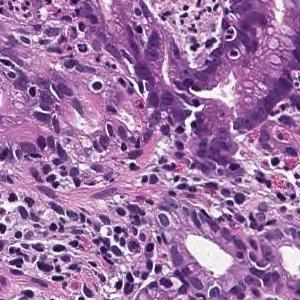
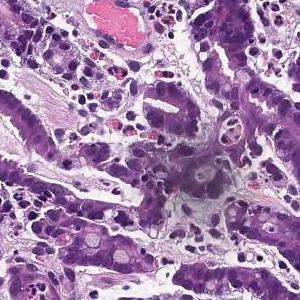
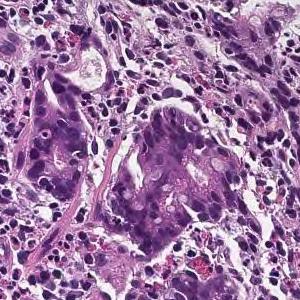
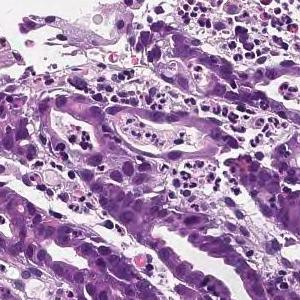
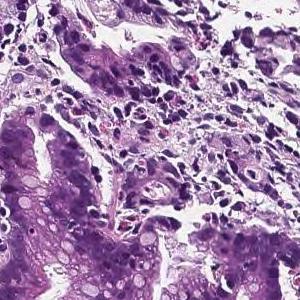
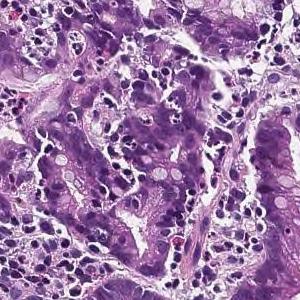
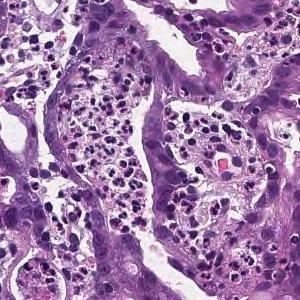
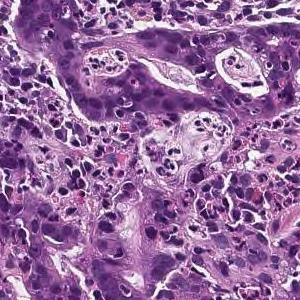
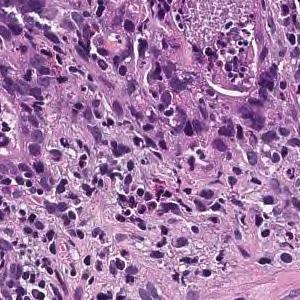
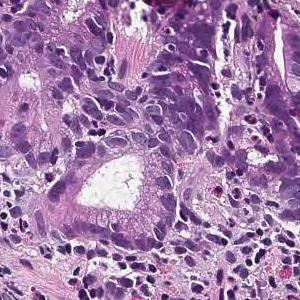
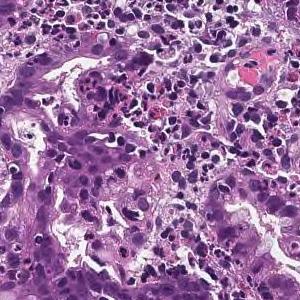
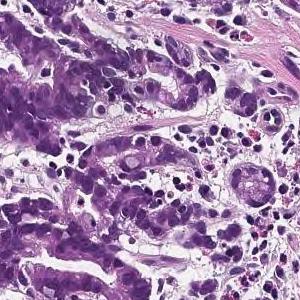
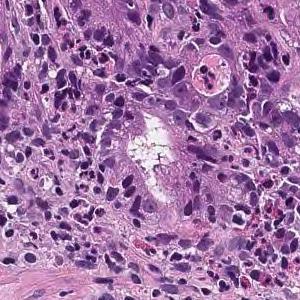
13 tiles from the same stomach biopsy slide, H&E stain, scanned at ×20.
Diagnostic report for the slide these tiles come from. The findings and the diagnosis refer to the entire slide; these tiles show only part of it, possibly with non-tumor tissue, and may not show every feature named.
In the superficial epithelium, tumor tissue that invades by forming medium-sized to small, irregular ducts is observed. moderately differentiated tubular adenocarcinoma.
